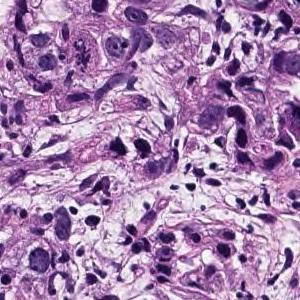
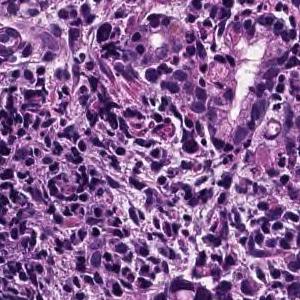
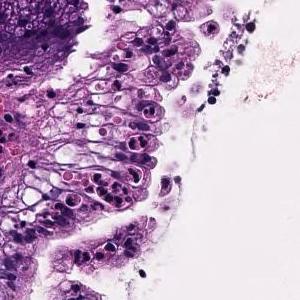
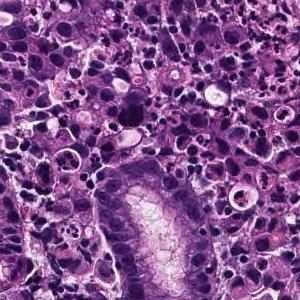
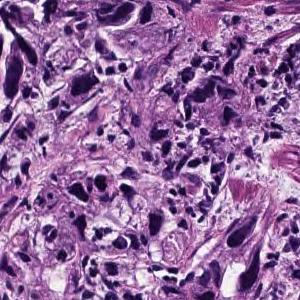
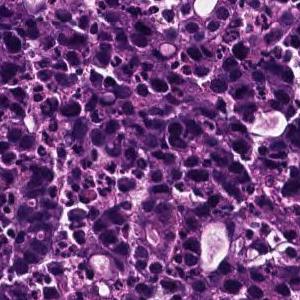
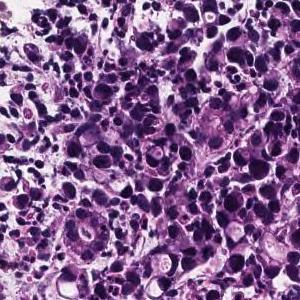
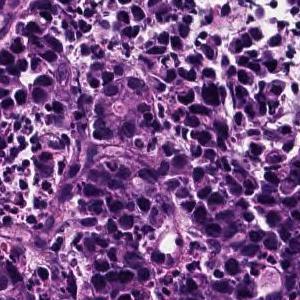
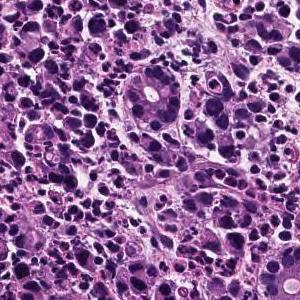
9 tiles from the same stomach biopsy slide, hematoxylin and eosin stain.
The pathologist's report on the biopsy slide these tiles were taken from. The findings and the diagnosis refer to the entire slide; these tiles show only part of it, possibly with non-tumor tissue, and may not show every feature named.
The superficial epithelium shows a large sheet-like shape, and some tumor tissue infiltrates with small irregular ducts. Poorly differentiated adenocarcinoma, solid-type
Classified as poorly differentiated adenocarcinoma, solid type (Japanese Classification of Gastric Carcinoma). The WHO 2019 equivalent is tubular adenocarcinoma, poorly differentiated.
